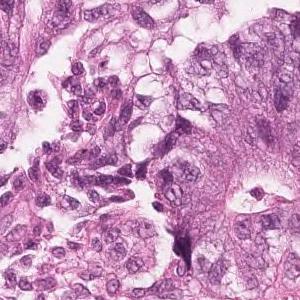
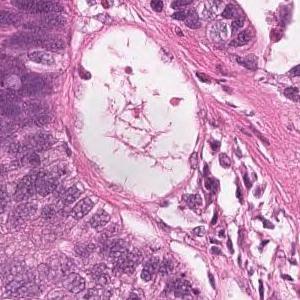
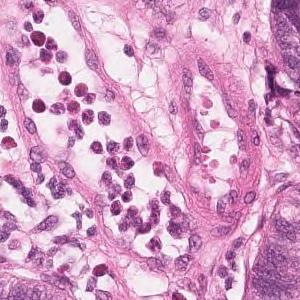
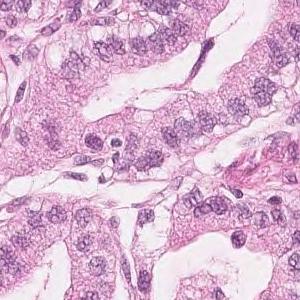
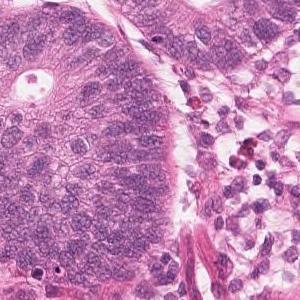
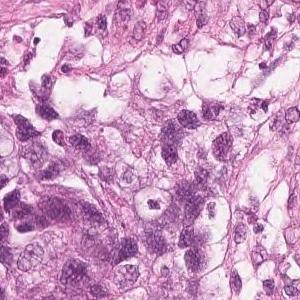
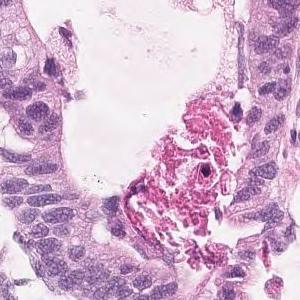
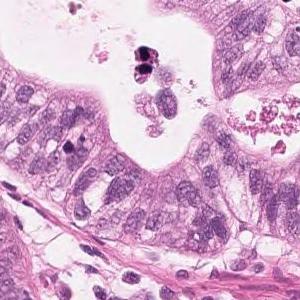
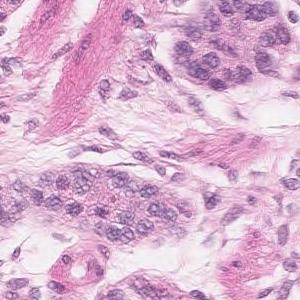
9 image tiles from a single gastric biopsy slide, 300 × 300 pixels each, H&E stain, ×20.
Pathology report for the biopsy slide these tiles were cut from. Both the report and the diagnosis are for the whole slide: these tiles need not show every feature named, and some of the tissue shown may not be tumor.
Highly columnar epithelium with disordered nuclear localization proliferates showing fusion ductal construction. moderately differentiated tubular adenocarcinoma
